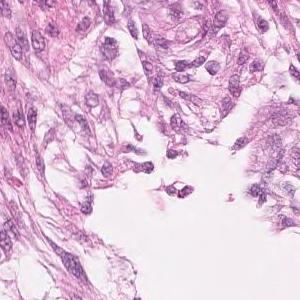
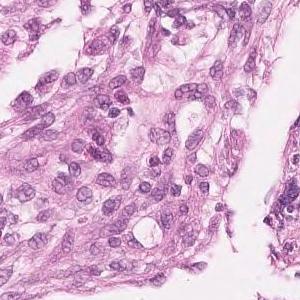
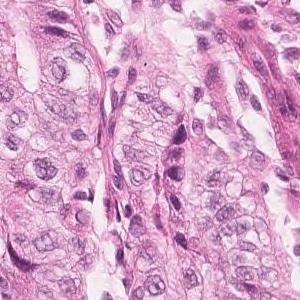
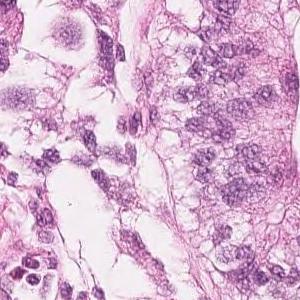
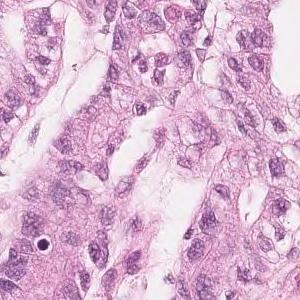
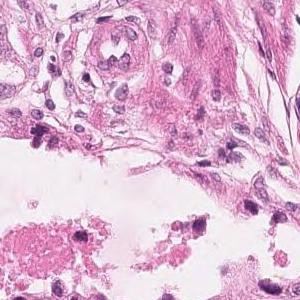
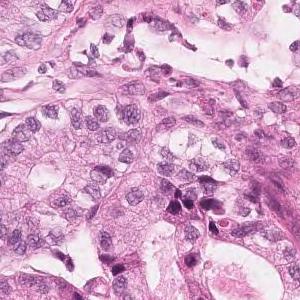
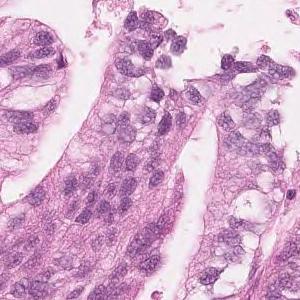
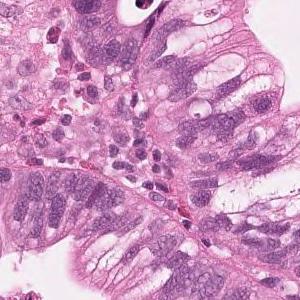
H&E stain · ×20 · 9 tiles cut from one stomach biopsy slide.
Report on the slide these tiles come from. The report describes the whole slide, diagnosis included: not every finding it names need appear in these tiles, which may also show non-tumor tissue.
Highly columnar epithelium with disordered nuclear localization proliferates showing fusion ductal construction. moderately differentiated tubular adenocarcinoma
